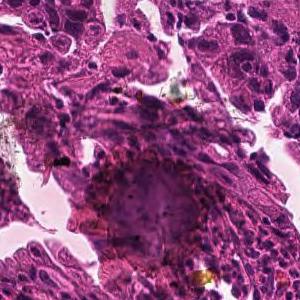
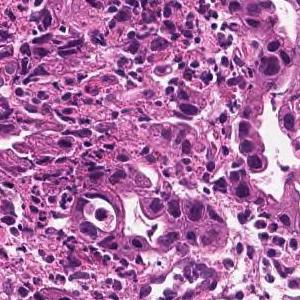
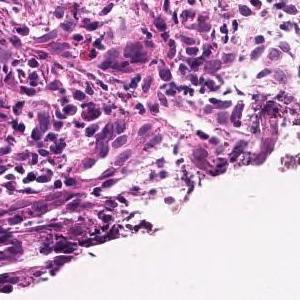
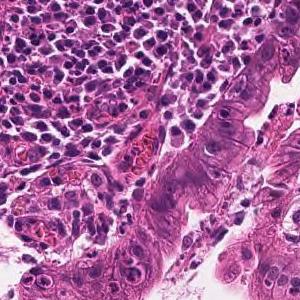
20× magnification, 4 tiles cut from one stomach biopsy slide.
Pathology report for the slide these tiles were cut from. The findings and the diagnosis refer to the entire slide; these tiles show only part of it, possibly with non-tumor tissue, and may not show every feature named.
Medium to small, irregular glandular ducts are formed in the superficial epithelium, and in some cases, the glandular ducts are fused to show solid alveolar lesions and infiltrating tumor tissue is observed. Moderately to poorly differentiated adenocarcinoma.
